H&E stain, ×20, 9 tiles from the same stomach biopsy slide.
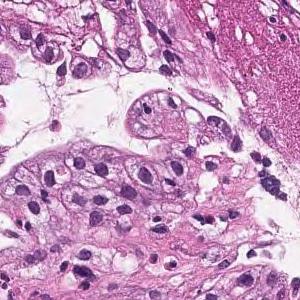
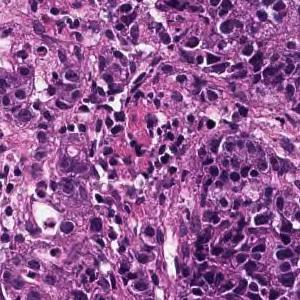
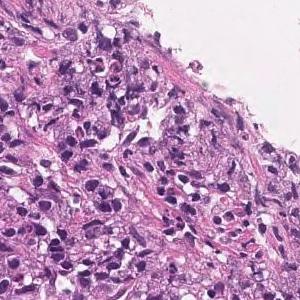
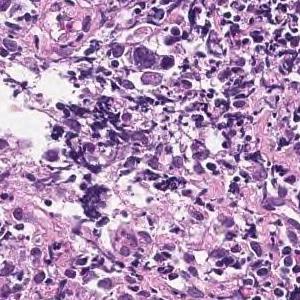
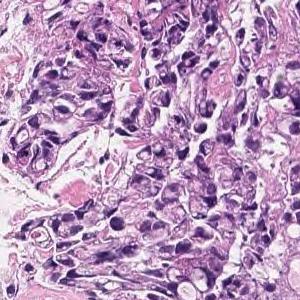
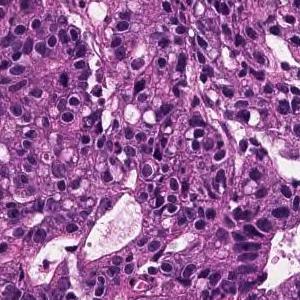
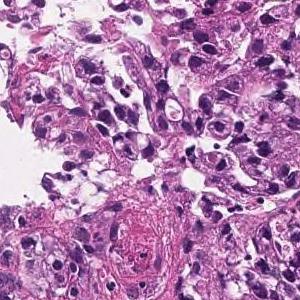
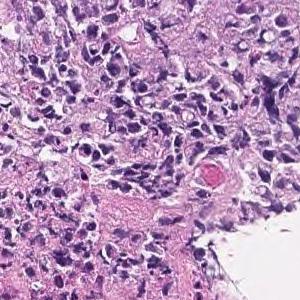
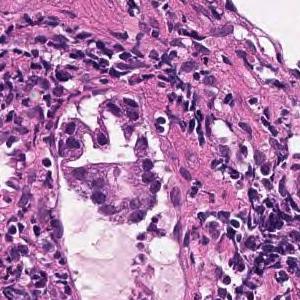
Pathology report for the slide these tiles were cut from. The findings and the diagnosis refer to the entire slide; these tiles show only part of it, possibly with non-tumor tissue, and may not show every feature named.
Medium to small, irregular glandular ducts are formed in the superficial epithelium, and in some cases, the glandular ducts are fused to show solid alveolar lesions and infiltrating tumor tissue is observed. Moderately to poorly differentiated adenocarcinoma.
